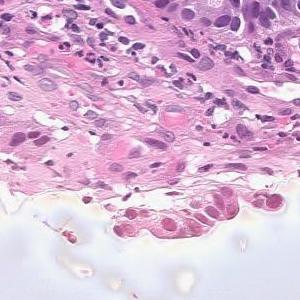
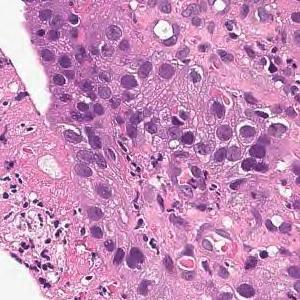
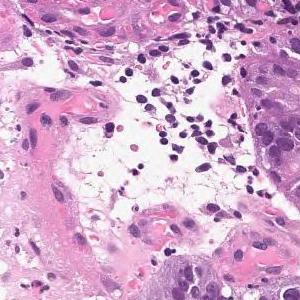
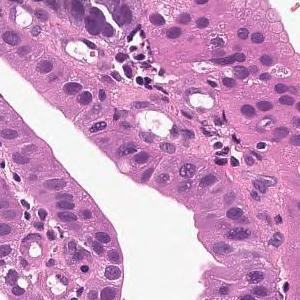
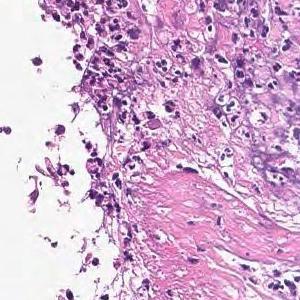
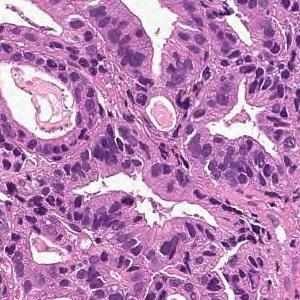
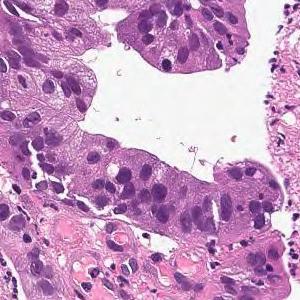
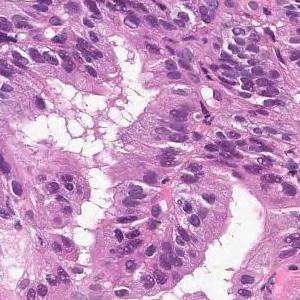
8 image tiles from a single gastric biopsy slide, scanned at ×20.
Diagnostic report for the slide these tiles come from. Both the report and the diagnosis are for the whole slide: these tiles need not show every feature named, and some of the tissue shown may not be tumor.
From the superficial epithelium to the muscularis mucosae, tumor tissue consisting of medium-sized and irregular glandular ducts infiltrating is observed. Well differentiated tubular adenocarcinoma
